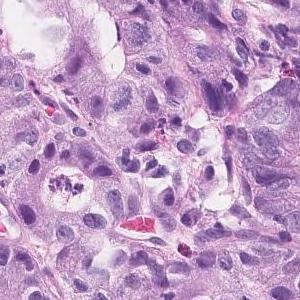
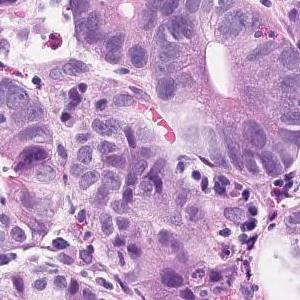
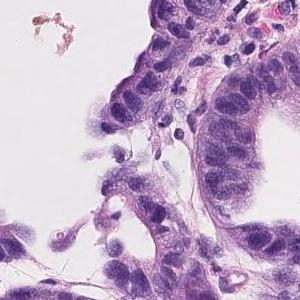
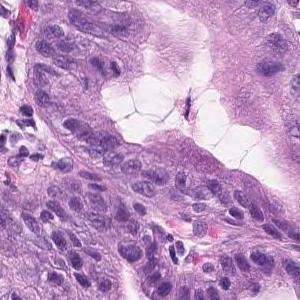
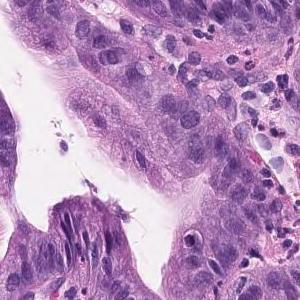
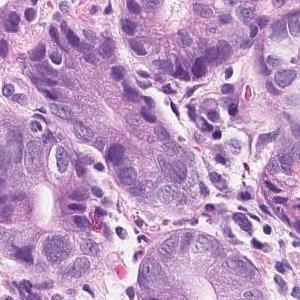
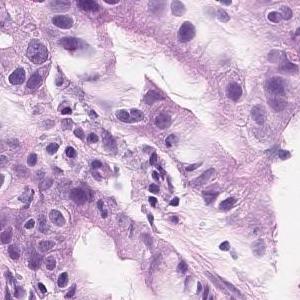
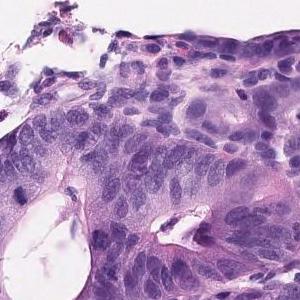
8 patches cut from one gastric biopsy slide · H&E stain · scanned at ×20.
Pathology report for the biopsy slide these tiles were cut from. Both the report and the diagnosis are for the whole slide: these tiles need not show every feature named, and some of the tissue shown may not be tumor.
On the superficial epithelium, tumor tissue consisting of medium-sized to large-sized, round or irregular glandular duct growth images is observed. Well differentiated adenocarcinoma.
Histologic type: Well differentiated tubular adenocarcinoma.
